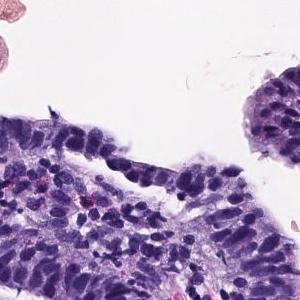
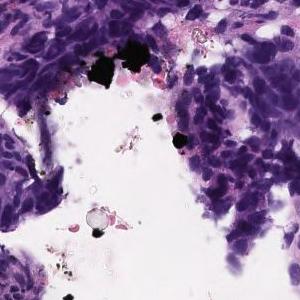
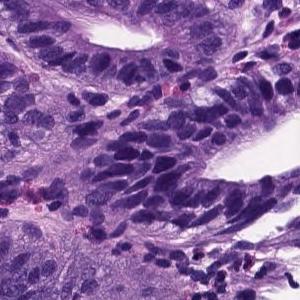
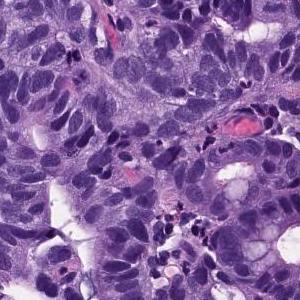
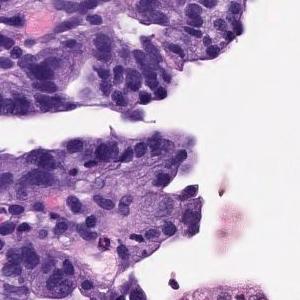
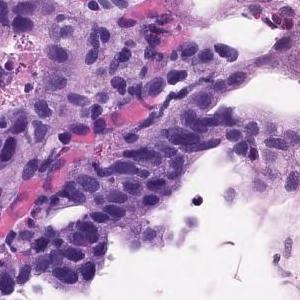
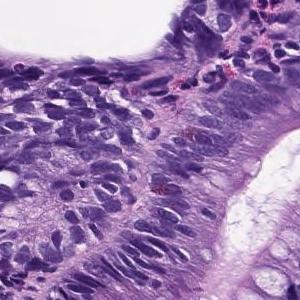
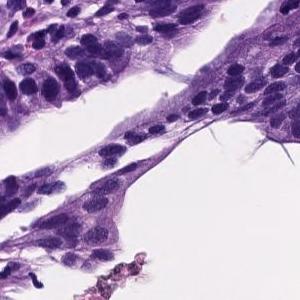
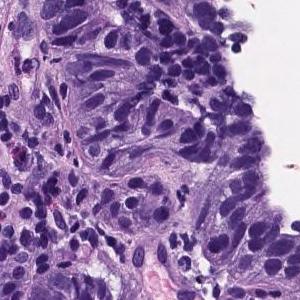
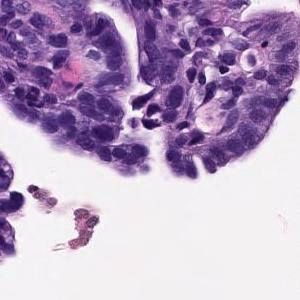
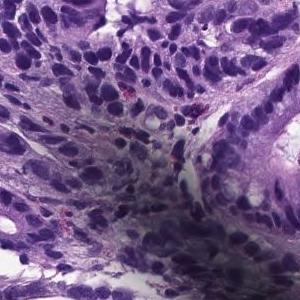
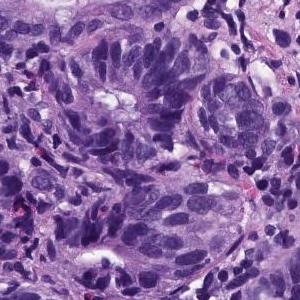
12 tiles cut from one stomach biopsy slide; 300 × 300 pixels each; hematoxylin and eosin stain; scanned at ×20.
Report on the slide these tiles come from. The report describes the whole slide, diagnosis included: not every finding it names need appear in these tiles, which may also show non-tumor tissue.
Atypical epithelial cells are proliferating to replace the foveolar epithelium is observed. Well differentiated tubular adenocarcinoma.
